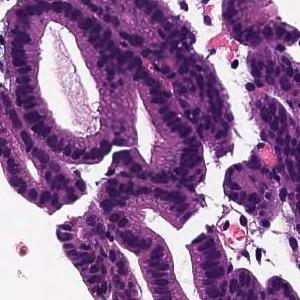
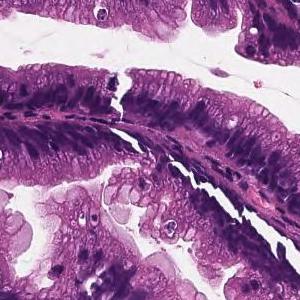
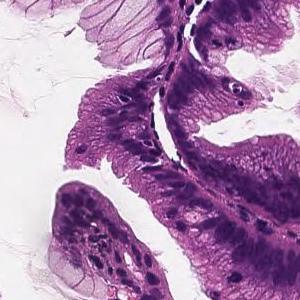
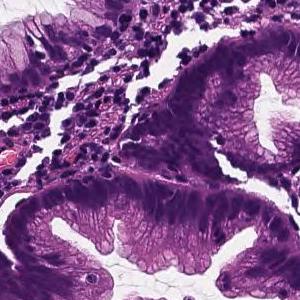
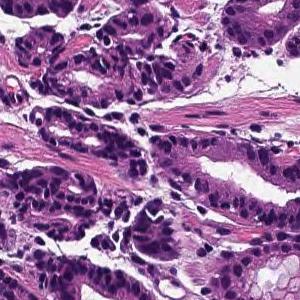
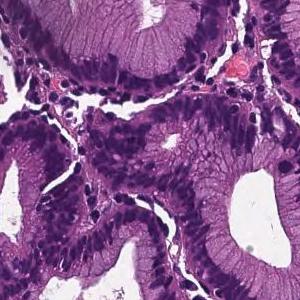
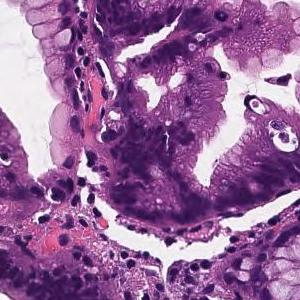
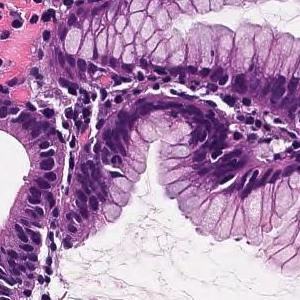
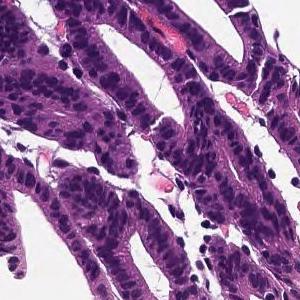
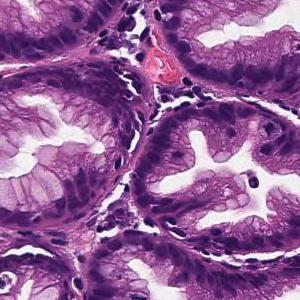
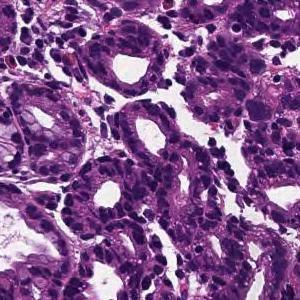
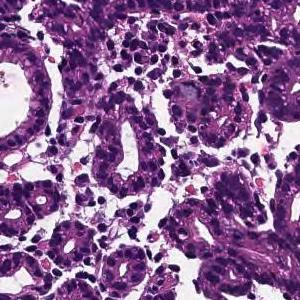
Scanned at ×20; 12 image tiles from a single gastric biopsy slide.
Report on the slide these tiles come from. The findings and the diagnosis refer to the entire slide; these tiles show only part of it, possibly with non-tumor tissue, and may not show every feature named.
Cells with elliptical or atypical nuclei form dense ducts with relatively clear growth. Well differentiated tubular adenocarcinoma
